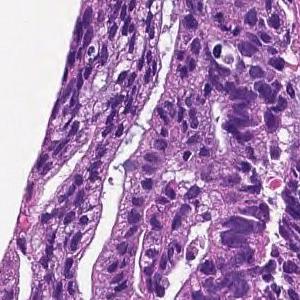
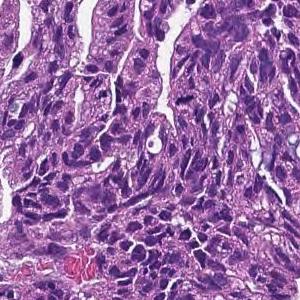
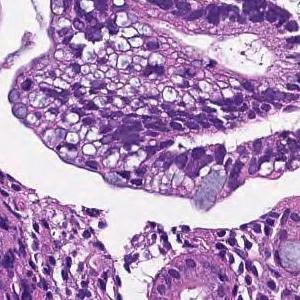
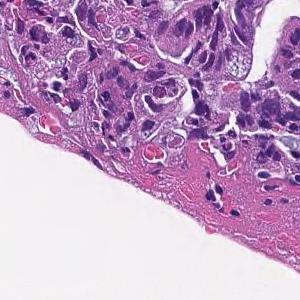
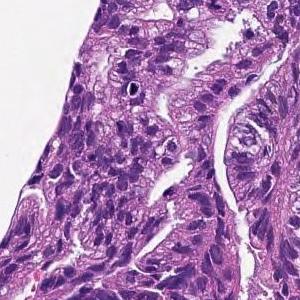
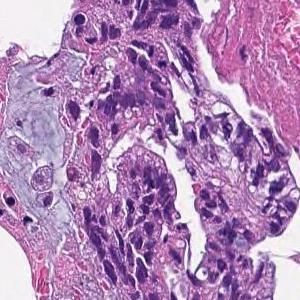
Hematoxylin and eosin stain; 20× magnification; 6 tiles cut from one stomach biopsy slide.
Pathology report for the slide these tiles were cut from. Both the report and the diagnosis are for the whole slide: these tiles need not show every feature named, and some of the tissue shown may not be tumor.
In the superficial epithelium, tumor tissue that invades by forming medium-sized to small, irregular ducts is observed. moderately differentiated tubular adenocarcinoma.
